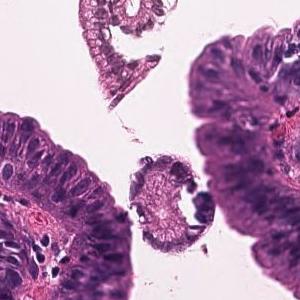
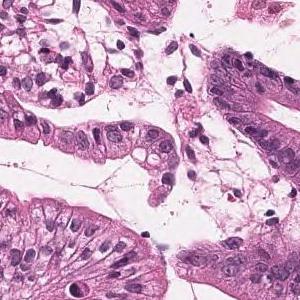
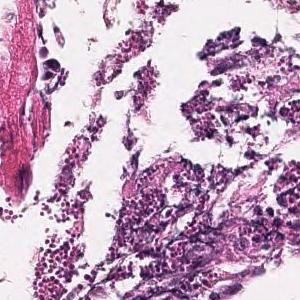
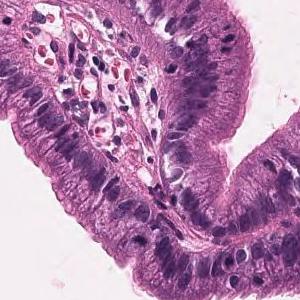
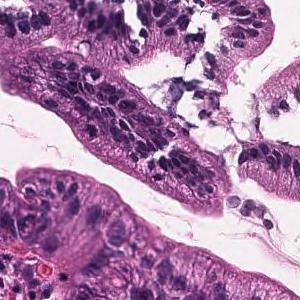
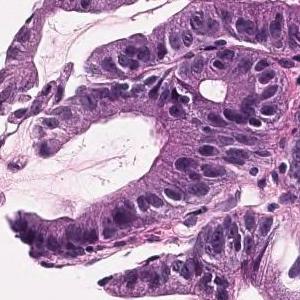
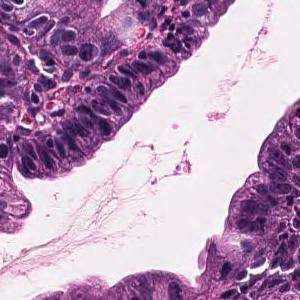
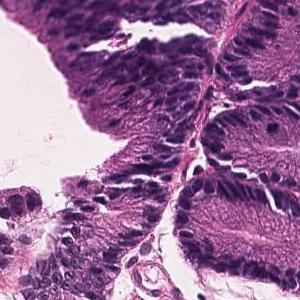
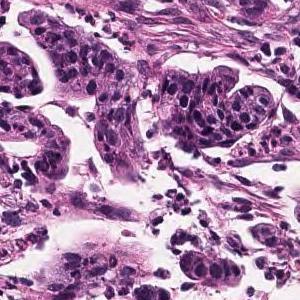
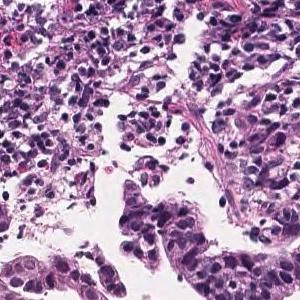
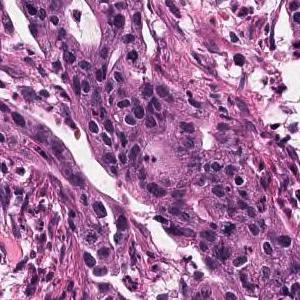
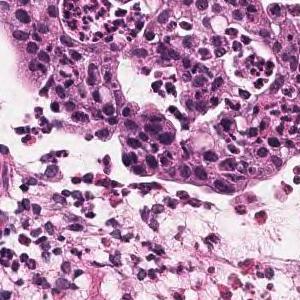
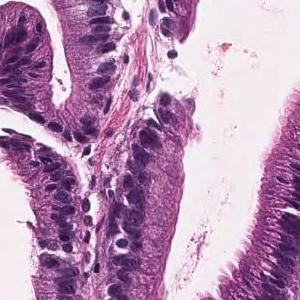
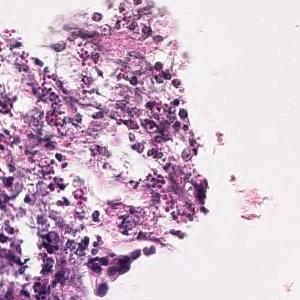
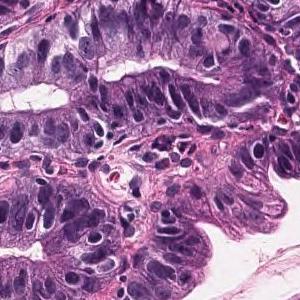
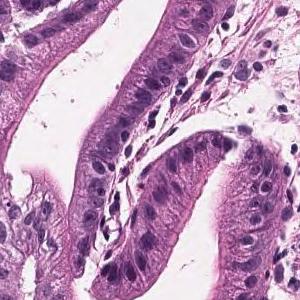
H&E stain · scanned at ×20 · 16 image tiles from a single gastric biopsy slide.
Report on the slide these tiles come from. What the report and the diagnosis say applies to the whole slide; these tiles may miss some of the features named and may include tissue that is not tumor.
Tumor tissue that grows invasively while the short atypical epithelium forms small ducts is observed. moderately differentiated tubular adenocarcinoma
